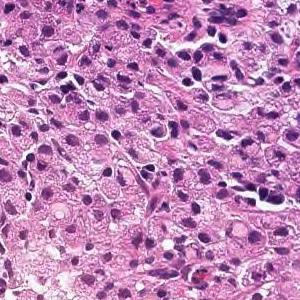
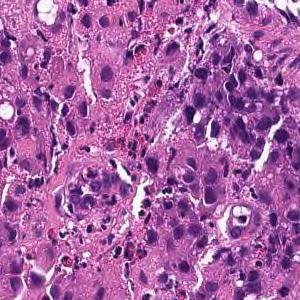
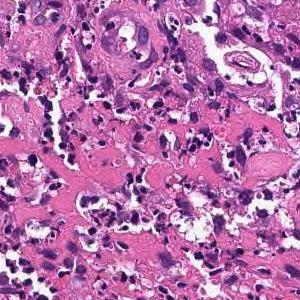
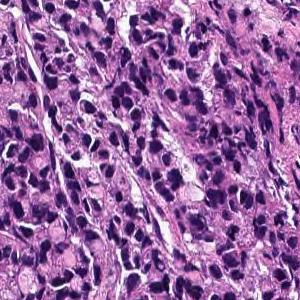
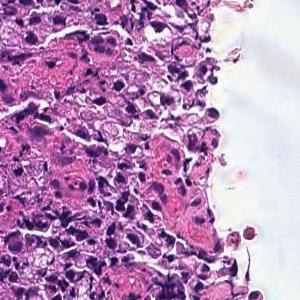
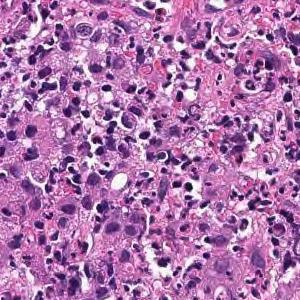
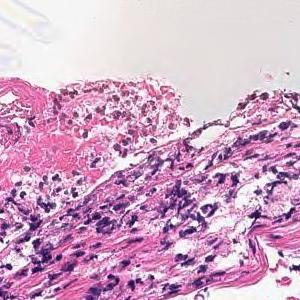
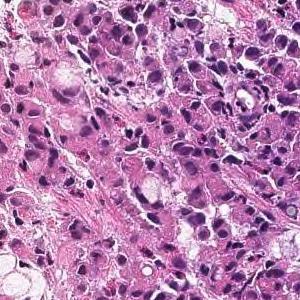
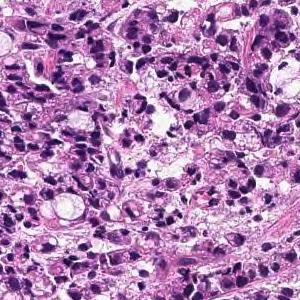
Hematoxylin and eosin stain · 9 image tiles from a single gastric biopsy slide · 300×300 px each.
The pathologist's report on the biopsy slide these tiles were taken from. The report and the diagnosis describe the slide as a whole, so these tiles may not show every feature named and may include non-tumor tissue.
Tumor tissue consisting of diffusely infiltrated large atypical epithelial cells or signet ring atypical cells is observed in the superficial epithelium. Poorly differentiated adenocarcinoma, solid-type
Classified as poorly differentiated adenocarcinoma, solid type. This name comes from the Japanese Classification of Gastric Carcinoma; the WHO 2019 classification calls it tubular adenocarcinoma, poorly differentiated.
